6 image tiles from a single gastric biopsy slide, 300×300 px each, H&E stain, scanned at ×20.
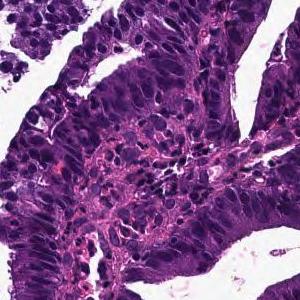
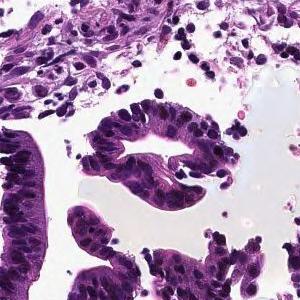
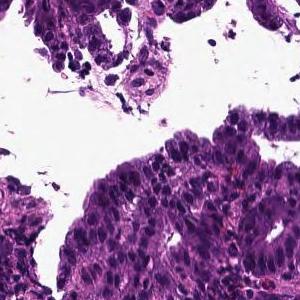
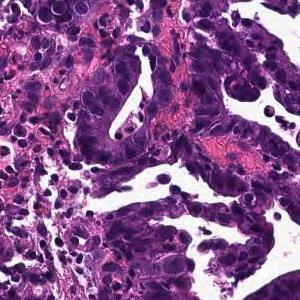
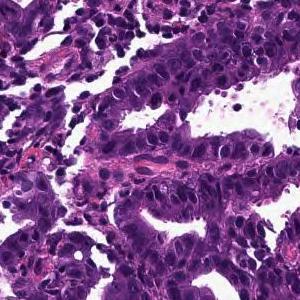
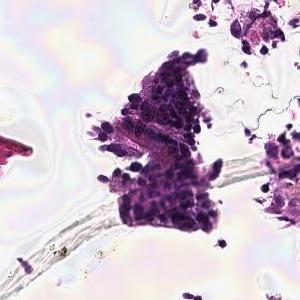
The pathologist's report on the biopsy slide these tiles were taken from. The findings and the diagnosis refer to the entire slide; these tiles show only part of it, possibly with non-tumor tissue, and may not show every feature named.
Tumor cells are large, highly columnar, large club-shaped nuclei, and are associated with chromatin aggregation. Papillary adenocarcinoma.
